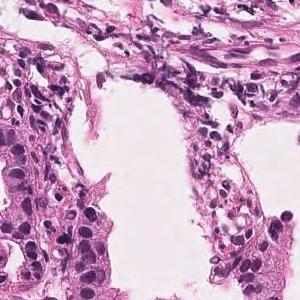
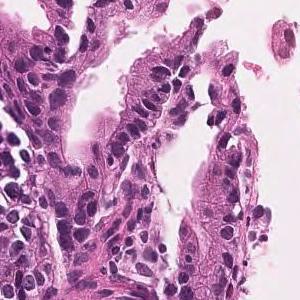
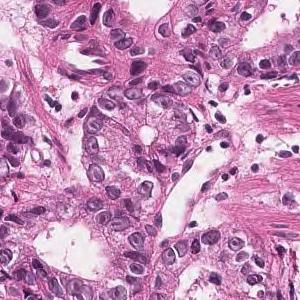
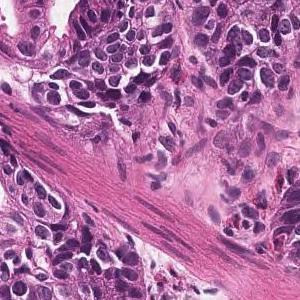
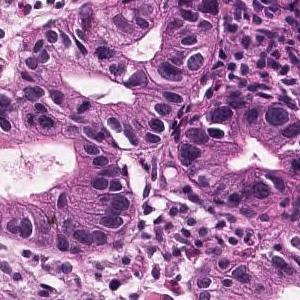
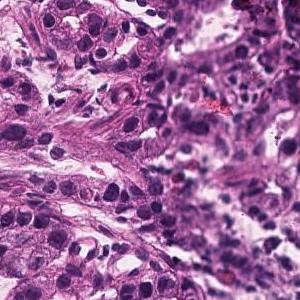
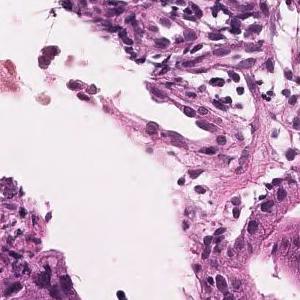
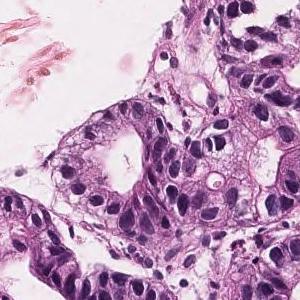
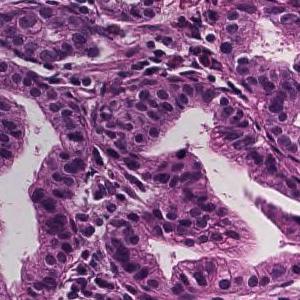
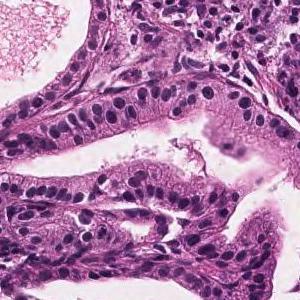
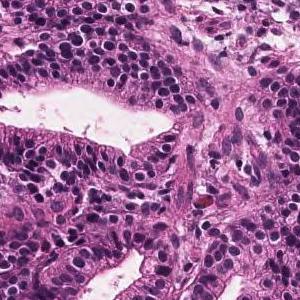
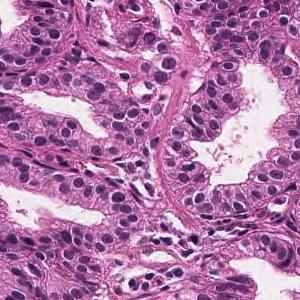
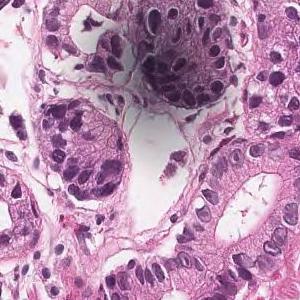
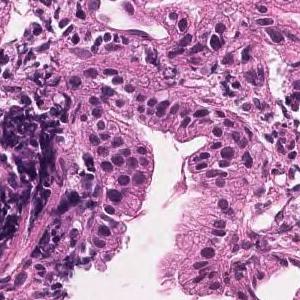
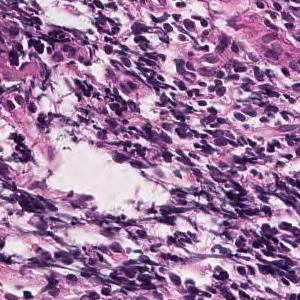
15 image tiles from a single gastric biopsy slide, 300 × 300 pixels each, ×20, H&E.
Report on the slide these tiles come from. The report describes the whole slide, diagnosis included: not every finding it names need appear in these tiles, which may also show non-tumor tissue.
Tumor tissue consisting of medium-sized and irregular ducts is observed infiltrating in the superficial epithelium. Tumor cells are highly columnar, with nuclei aligned basolaterally and polarized. Well differentiated tubular adenocarcinoma.
